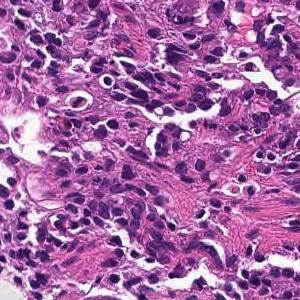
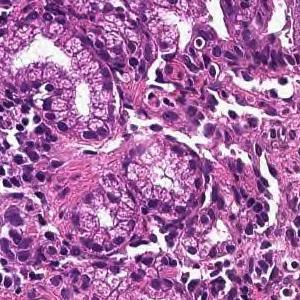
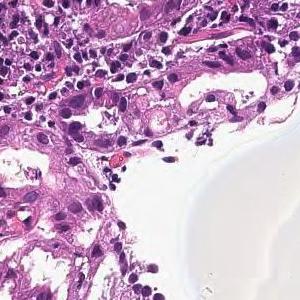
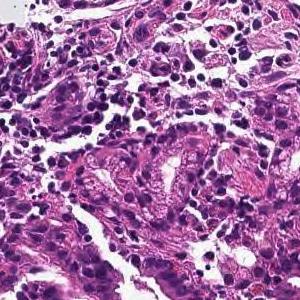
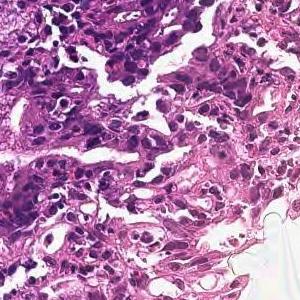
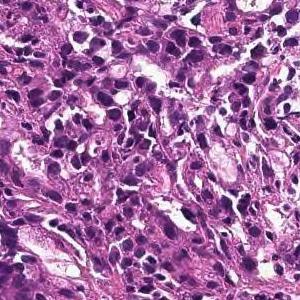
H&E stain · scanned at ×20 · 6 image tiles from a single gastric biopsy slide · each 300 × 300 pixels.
Pathology report for the biopsy slide these tiles were cut from. The report and the diagnosis cover the entire slide, so not every feature they name need be visible here, and some tissue shown may not be tumor.
In the superficial epithelium, tumor tissue that invades by forming medium-sized to small, irregular ducts is observed. moderately differentiated tubular adenocarcinoma.
